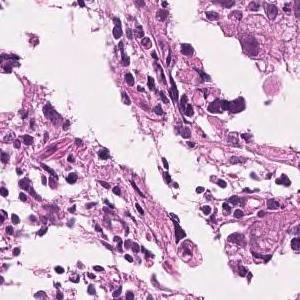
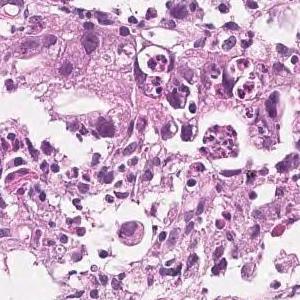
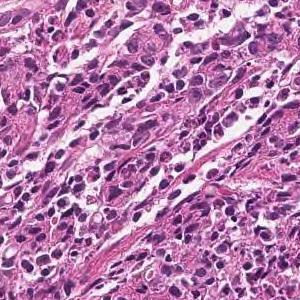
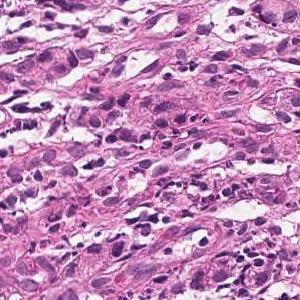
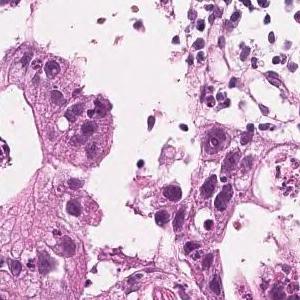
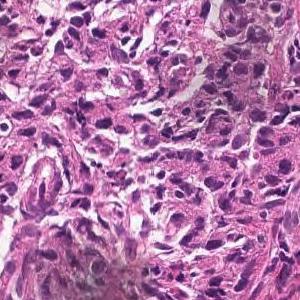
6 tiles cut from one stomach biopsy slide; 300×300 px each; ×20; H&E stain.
The pathologist's report on the biopsy slide these tiles were taken from. The report and the diagnosis cover the entire slide, so not every feature they name need be visible here, and some tissue shown may not be tumor.
In the superficial epithelium, medium to small, irregular glandular ducts are formed, and in some parts, the glandular ducts are fused, and in other parts, small cord-like infiltrating tumor tissue is observed. Moderately to poorly differentiated adenocarcinoma.
